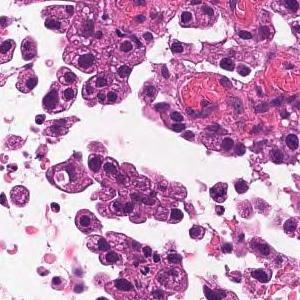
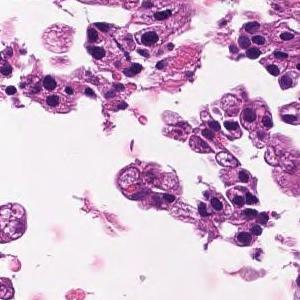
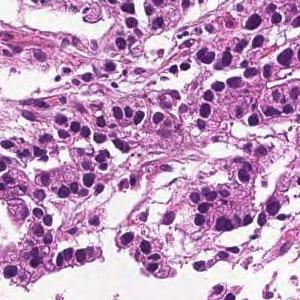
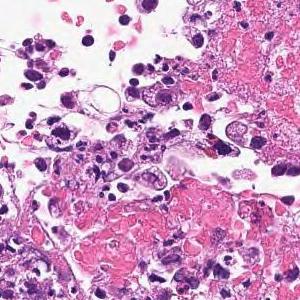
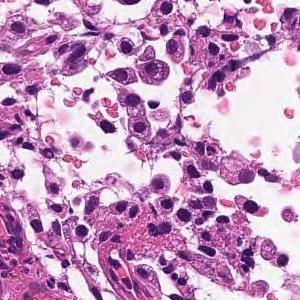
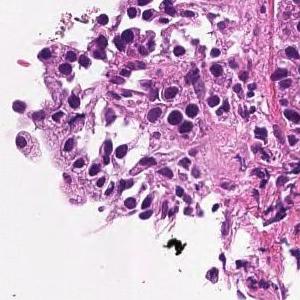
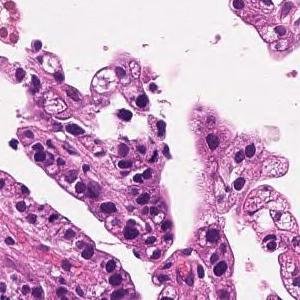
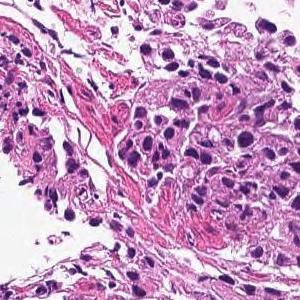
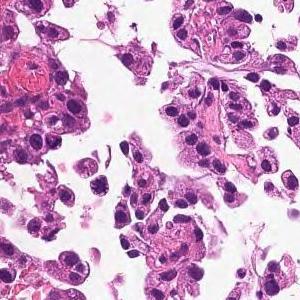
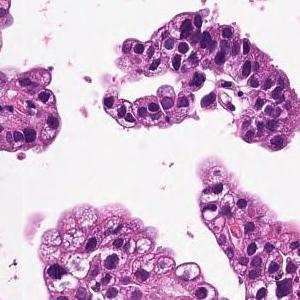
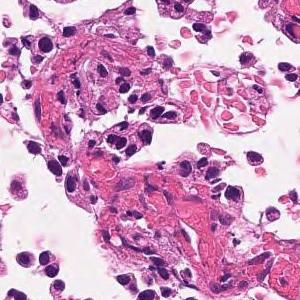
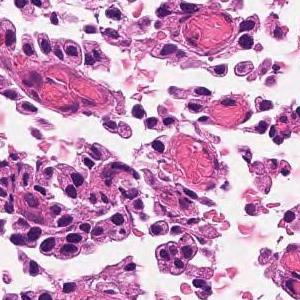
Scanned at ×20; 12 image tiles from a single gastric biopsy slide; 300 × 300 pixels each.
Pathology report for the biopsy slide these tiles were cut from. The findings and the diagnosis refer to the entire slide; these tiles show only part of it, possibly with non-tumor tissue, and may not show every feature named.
In the superficial epithelium, tumor tissue that invades by forming medium-sized to small, irregular ducts is observed. moderately differentiated tubular adenocarcinoma.
